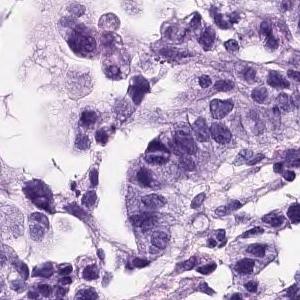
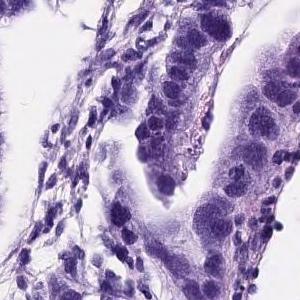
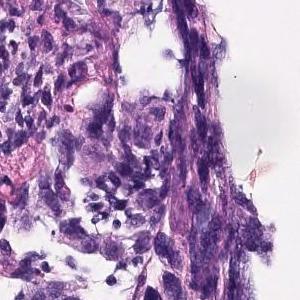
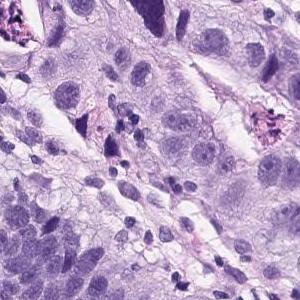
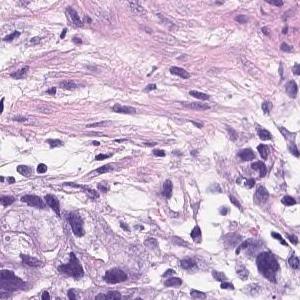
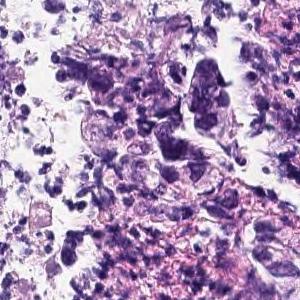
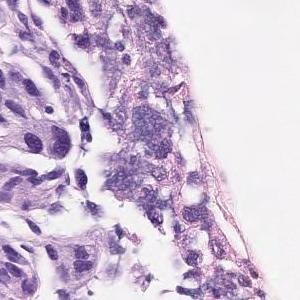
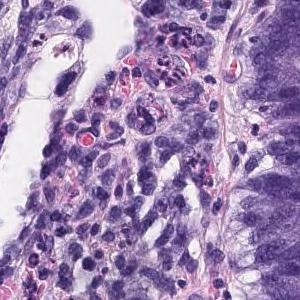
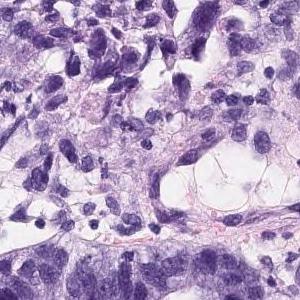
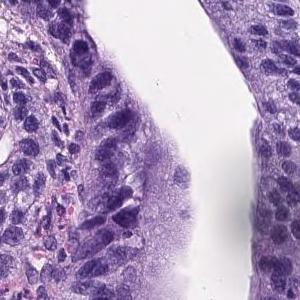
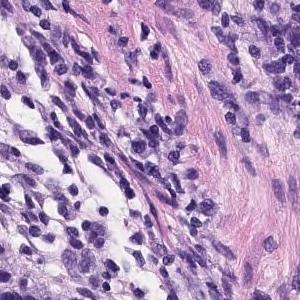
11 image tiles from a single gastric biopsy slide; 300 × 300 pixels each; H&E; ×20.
Report on the slide these tiles come from. The findings and the diagnosis refer to the entire slide; these tiles show only part of it, possibly with non-tumor tissue, and may not show every feature named.
On the superficial epithelium, tumor tissue consisting of medium to small irregular tubules partially fused and proliferated is observed. moderately differentiated tubular adenocarcinoma
